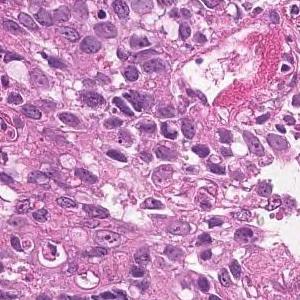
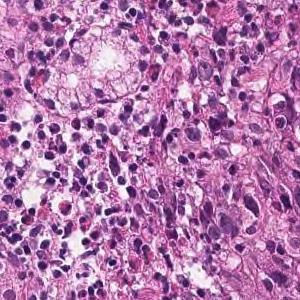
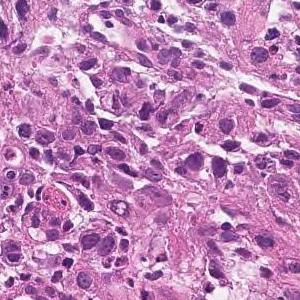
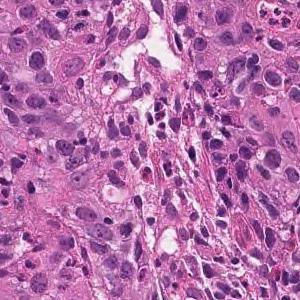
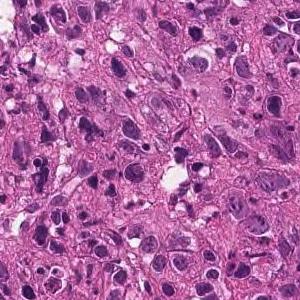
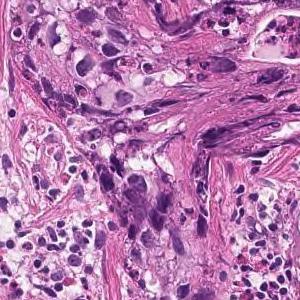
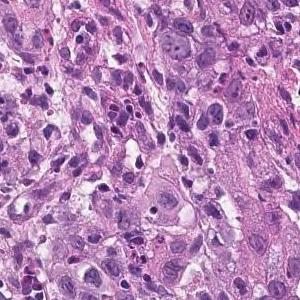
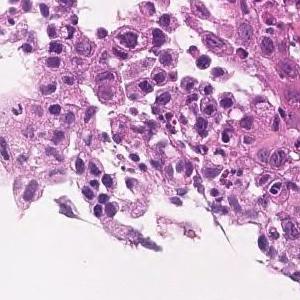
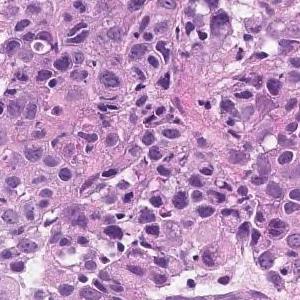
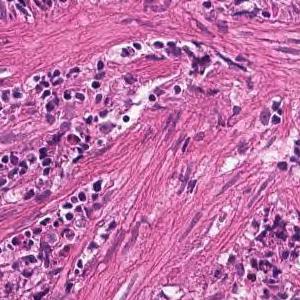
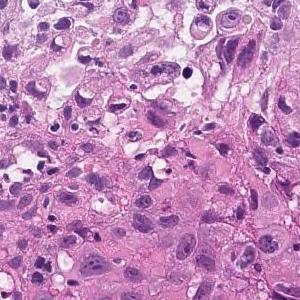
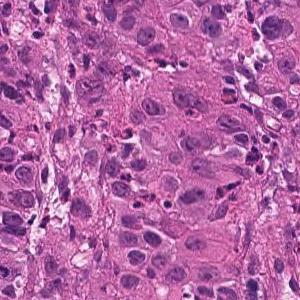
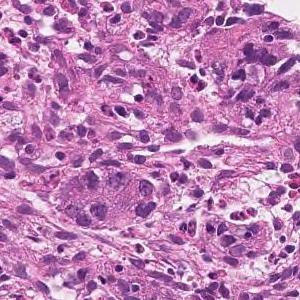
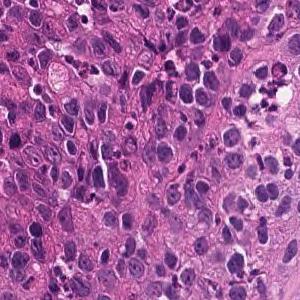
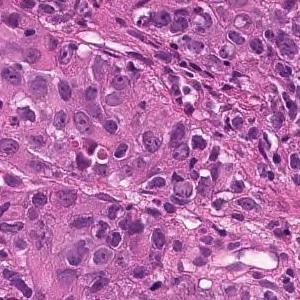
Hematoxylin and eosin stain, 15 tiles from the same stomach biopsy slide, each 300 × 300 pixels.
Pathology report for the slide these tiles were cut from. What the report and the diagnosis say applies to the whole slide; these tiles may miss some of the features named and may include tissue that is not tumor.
The superficial epithelium shows a large sheet-like shape, and some tumor tissue infiltrates with small irregular ducts. Poorly differentiated adenocarcinoma, solid-type
Histological subtype: Poorly differentiated adenocarcinoma, solid type. This name comes from the Japanese Classification of Gastric Carcinoma; the WHO 2019 classification calls it tubular adenocarcinoma, poorly differentiated.
